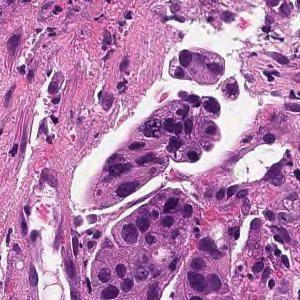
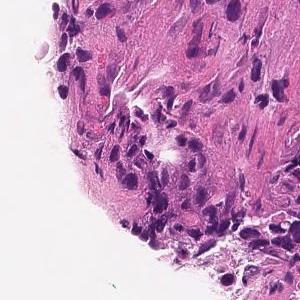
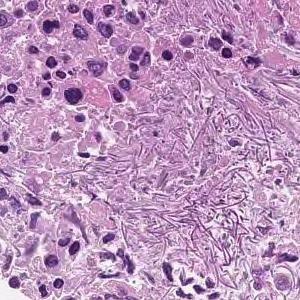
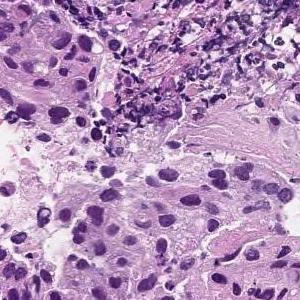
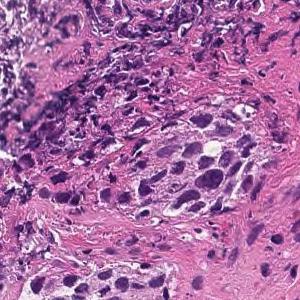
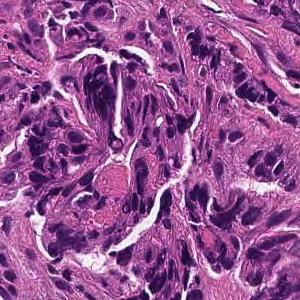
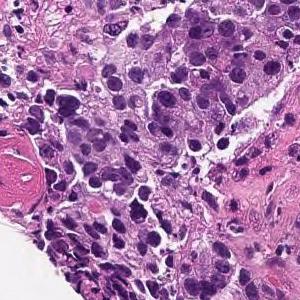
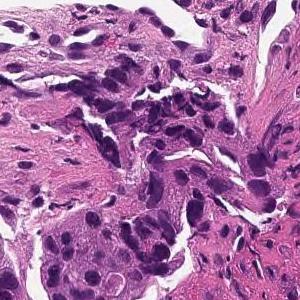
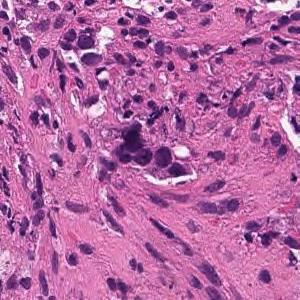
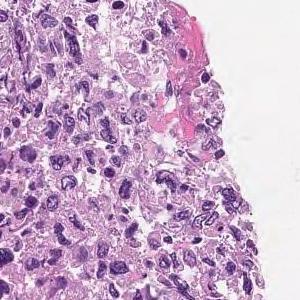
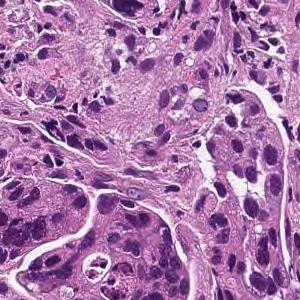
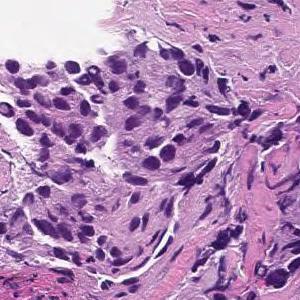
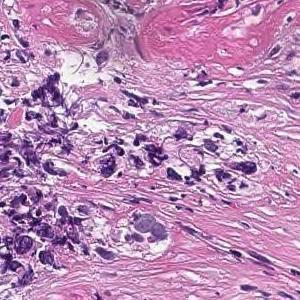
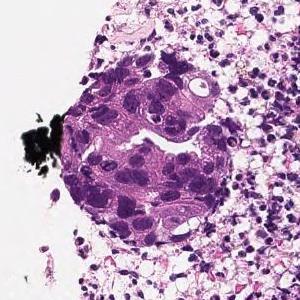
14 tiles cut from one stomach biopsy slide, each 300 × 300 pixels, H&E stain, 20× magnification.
The pathologist's report on the biopsy slide these tiles were taken from. Both the report and the diagnosis are for the whole slide: these tiles need not show every feature named, and some of the tissue shown may not be tumor.
Tumor tissue consisting of cord-like or small, irregular glandular ducts fused and infiltrated is observed in the superficial epithelium. Poorly differentiated adenocarcinoma, non-solid type
The term "non-solid type" comes from the Japanese Classification of Gastric Carcinoma.
